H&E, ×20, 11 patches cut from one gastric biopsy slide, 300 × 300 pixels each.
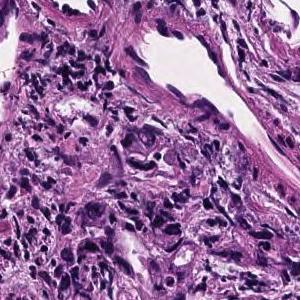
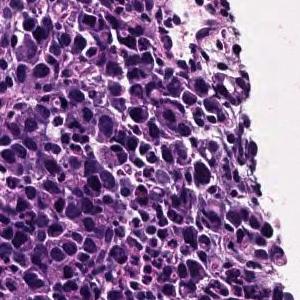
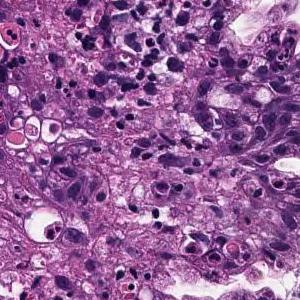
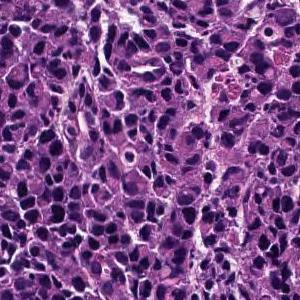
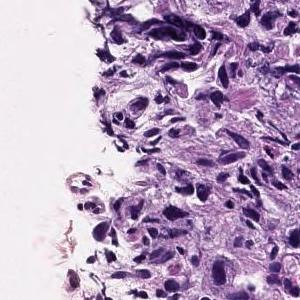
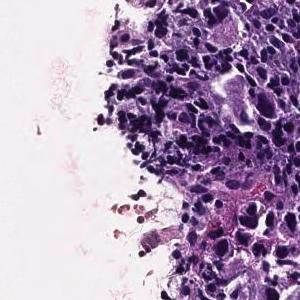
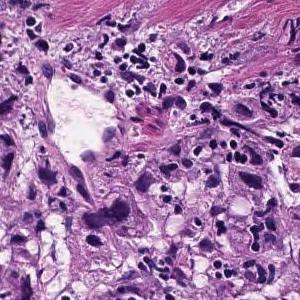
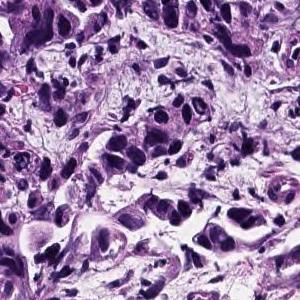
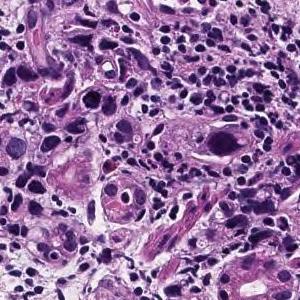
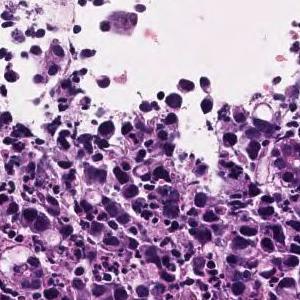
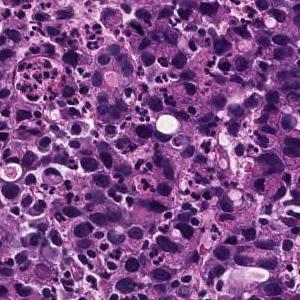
Pathology report for the slide these tiles were cut from. Both the report and the diagnosis are for the whole slide: these tiles need not show every feature named, and some of the tissue shown may not be tumor.
The superficial epithelium shows a large sheet-like shape, and some tumor tissue infiltrates with small irregular ducts. Poorly differentiated adenocarcinoma, solid-type
Classified as poorly differentiated adenocarcinoma, solid type. This name comes from the Japanese Classification of Gastric Carcinoma; the WHO 2019 classification calls it tubular adenocarcinoma, poorly differentiated.
